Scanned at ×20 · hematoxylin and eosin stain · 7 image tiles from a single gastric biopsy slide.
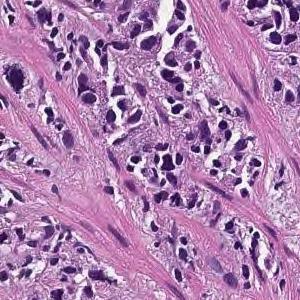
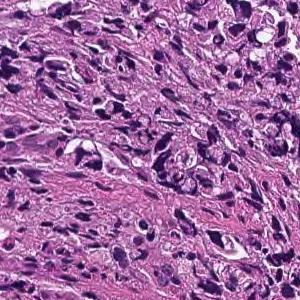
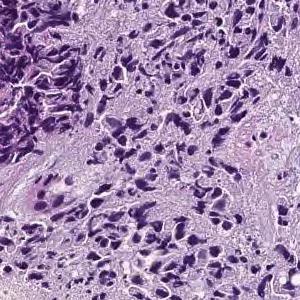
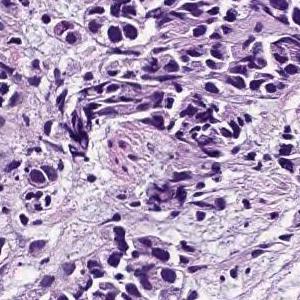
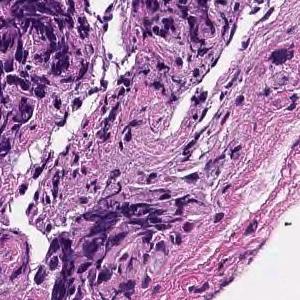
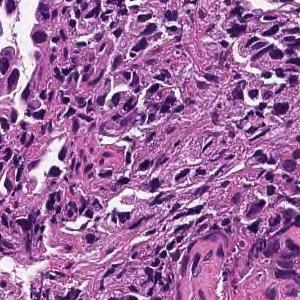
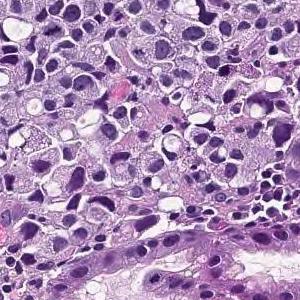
Diagnostic report for the slide these tiles come from. The report and the diagnosis describe the slide as a whole, so these tiles may not show every feature named and may include non-tumor tissue.
The lamina propria shows small cord-like tumor tissue that infiltrates with fibrosis and marked chronic inflammatory cell infiltration. Poorly differentiated adenocarcinoma, non-solid type
"Non-solid type" is a category of the Japanese Classification of Gastric Carcinoma.
